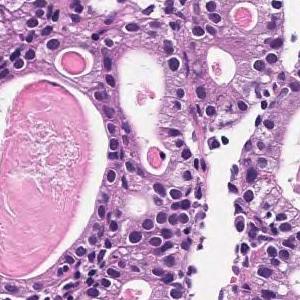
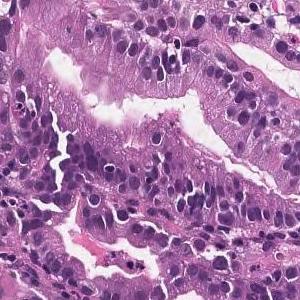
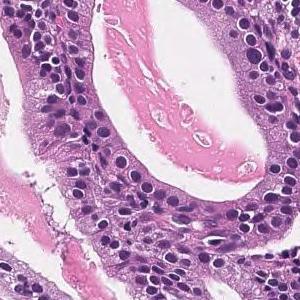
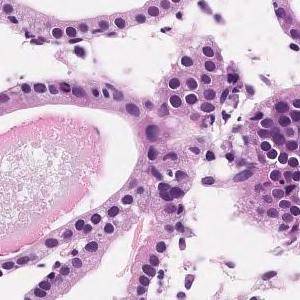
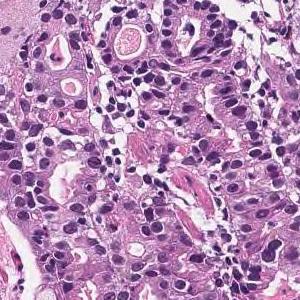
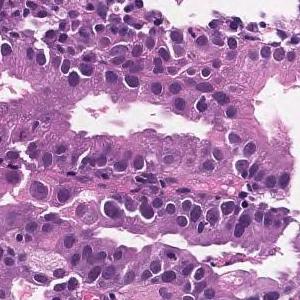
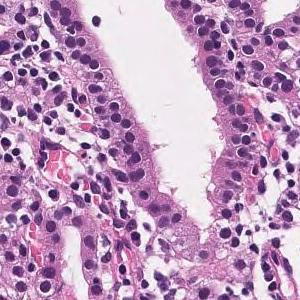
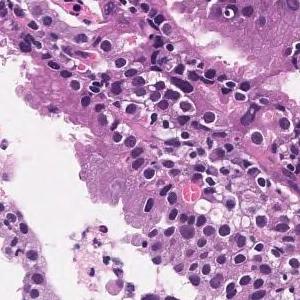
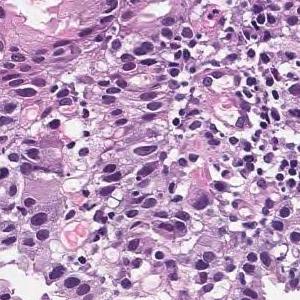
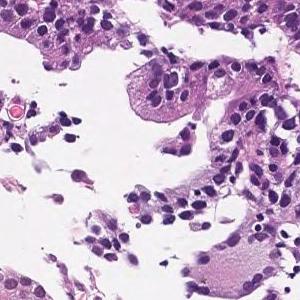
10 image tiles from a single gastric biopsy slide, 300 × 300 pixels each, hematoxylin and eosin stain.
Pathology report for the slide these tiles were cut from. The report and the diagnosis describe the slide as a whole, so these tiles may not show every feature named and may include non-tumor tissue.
Medium to small, irregular glandular ducts are formed in the superficial epithelium, and in some cases, the glandular ducts are fused to show solid alveolar lesions and infiltrating tumor tissue is observed. Moderately to poorly differentiated adenocarcinoma.
